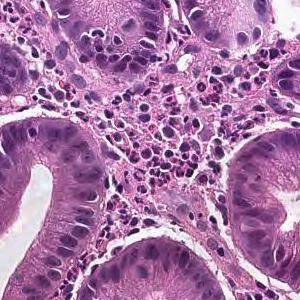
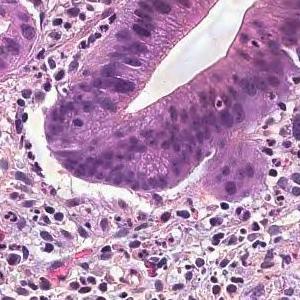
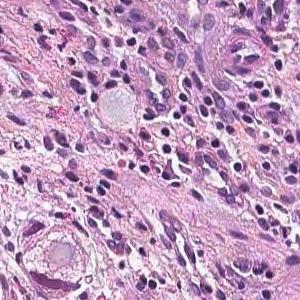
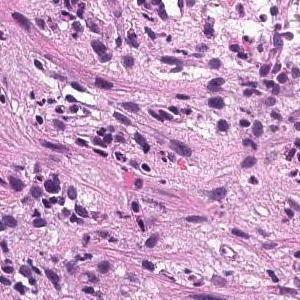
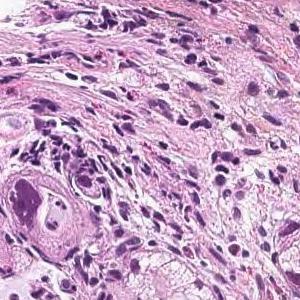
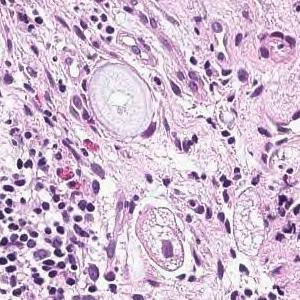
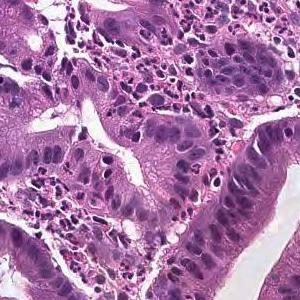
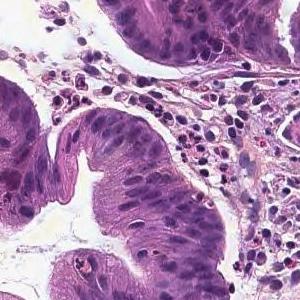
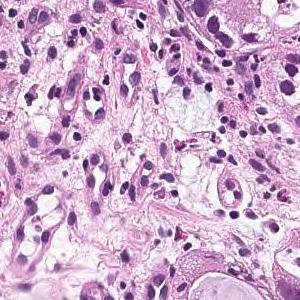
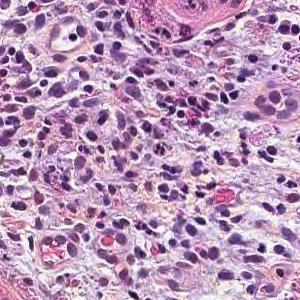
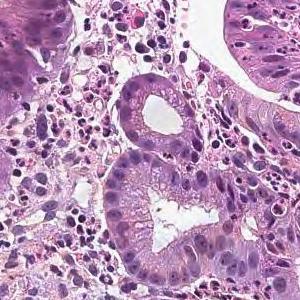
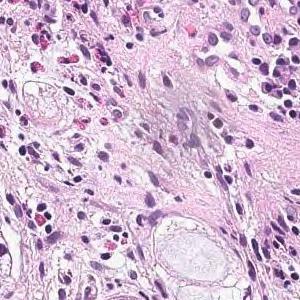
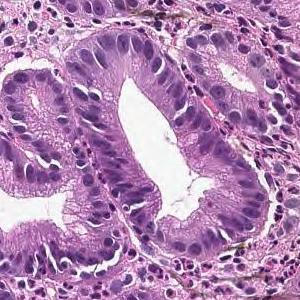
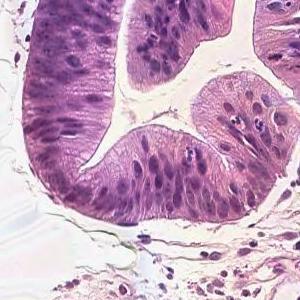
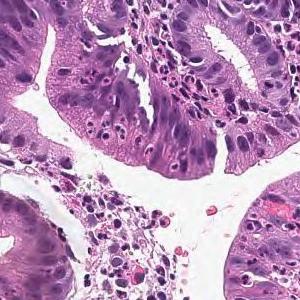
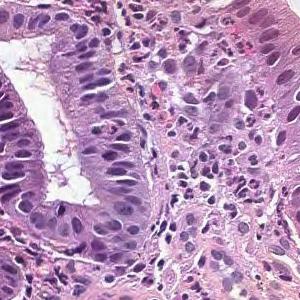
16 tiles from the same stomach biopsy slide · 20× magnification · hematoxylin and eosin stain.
Pathology report for the biopsy slide these tiles were cut from. The report and the diagnosis cover the entire slide, so not every feature they name need be visible here, and some tissue shown may not be tumor.
On the superficial epithelium, tumor tissue that infiltrates by forming medium-sized papillary or small irregular ducts is observed. Papillary adenocarcinoma
